Hematoxylin and eosin stain; 6 tiles cut from one stomach biopsy slide; 300 × 300 pixels each.
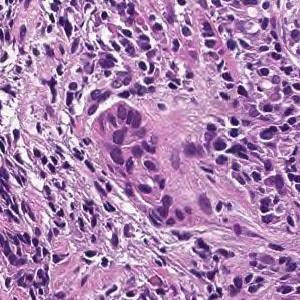
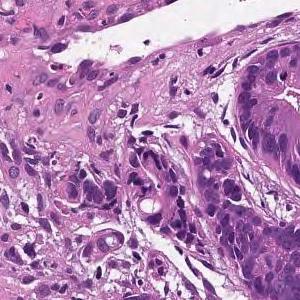
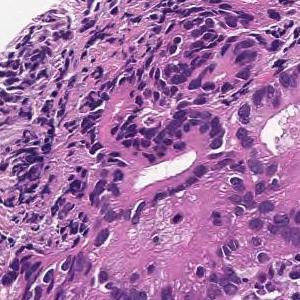
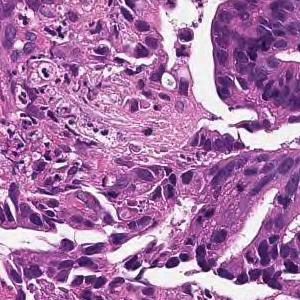
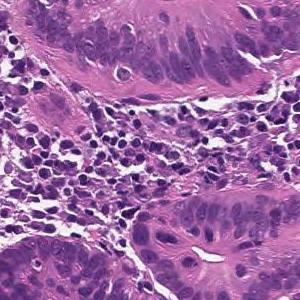
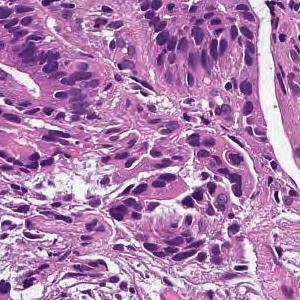
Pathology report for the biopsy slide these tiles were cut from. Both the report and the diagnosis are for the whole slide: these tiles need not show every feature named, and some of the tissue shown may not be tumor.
From the superficial epithelium to the muscularis mucosae, tumor tissue consisting of medium-sized and irregular glandular ducts infiltrating is observed. Well differentiated tubular adenocarcinoma
